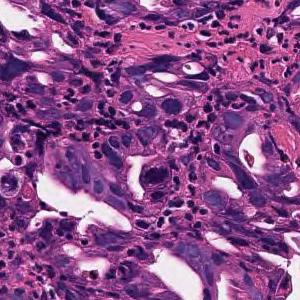
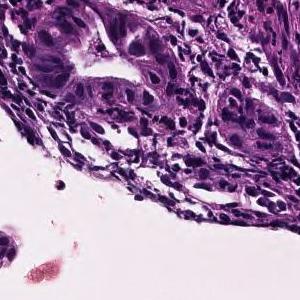
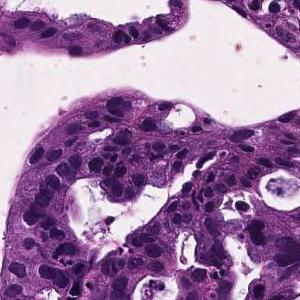
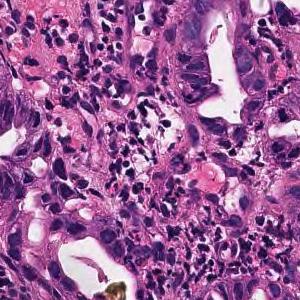
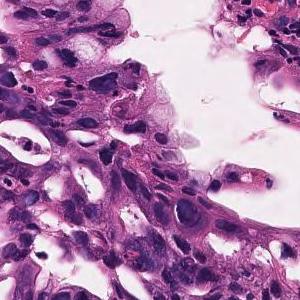
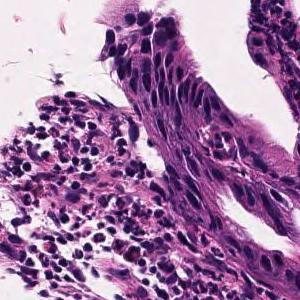
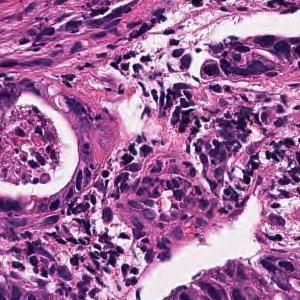
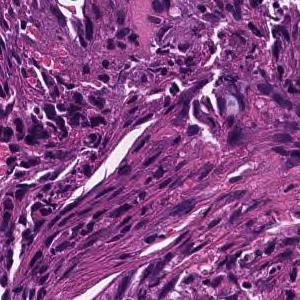
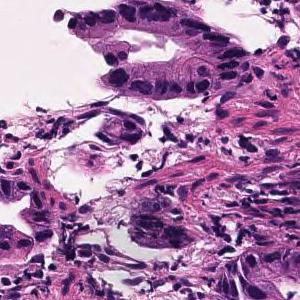
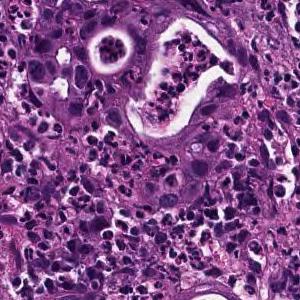
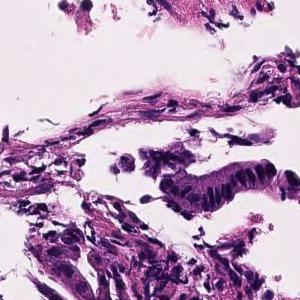
11 tiles from the same stomach biopsy slide · 20× magnification.
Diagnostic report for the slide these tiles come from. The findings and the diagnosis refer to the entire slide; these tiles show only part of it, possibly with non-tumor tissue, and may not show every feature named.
In the superficial epithelium, medium-sized to small irregular glandular ducts are formed, and in some cases, the glandular ducts are fused or small cord-like infiltrating tumor tissue is observed. moderately differentiated tubular adenocarcinoma
